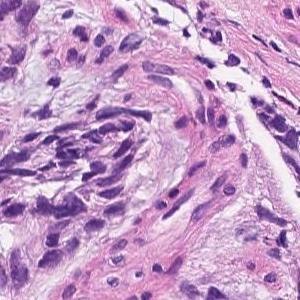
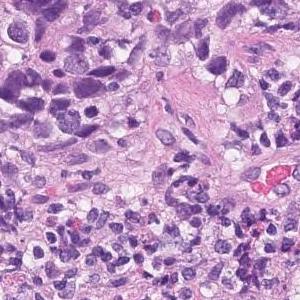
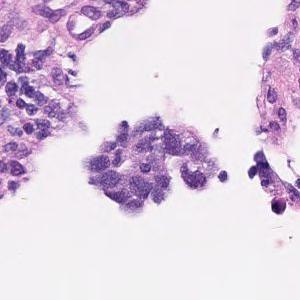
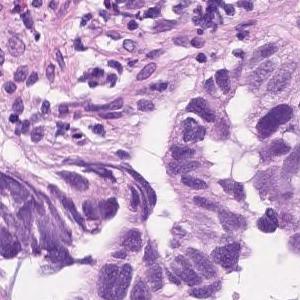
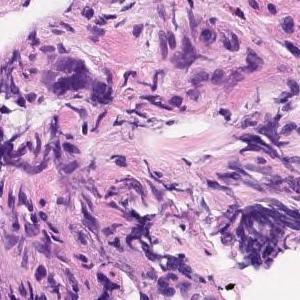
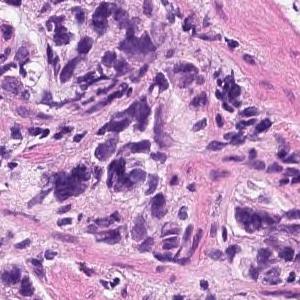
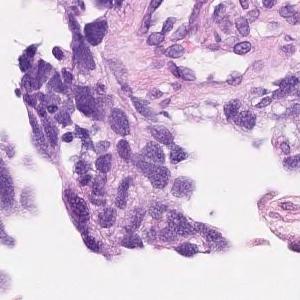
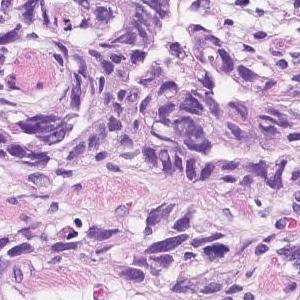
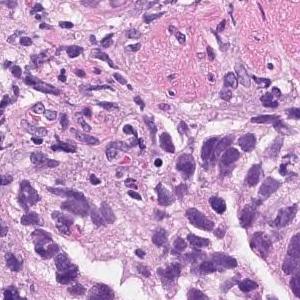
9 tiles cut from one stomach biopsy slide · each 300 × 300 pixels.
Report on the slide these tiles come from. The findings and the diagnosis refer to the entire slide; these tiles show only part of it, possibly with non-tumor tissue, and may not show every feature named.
In the superficial epithelium, tumor tissue that invades by forming medium-sized to small, irregular ducts is observed. Moderately differentiated adenocarcinoma.
Histologic type: Moderately differentiated tubular adenocarcinoma.
